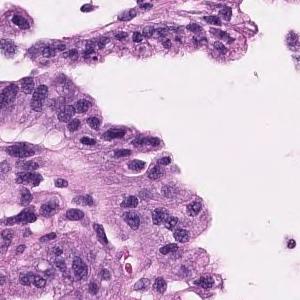
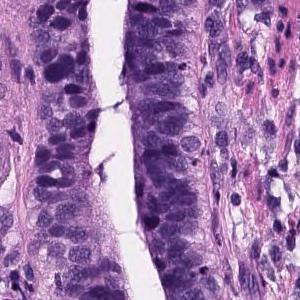
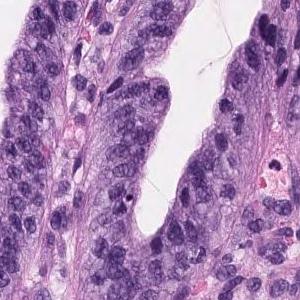
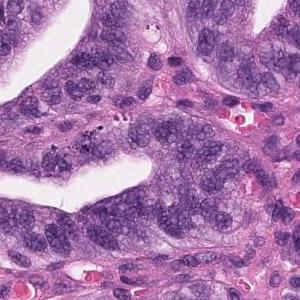
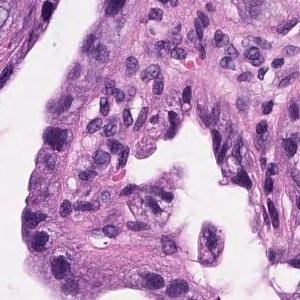
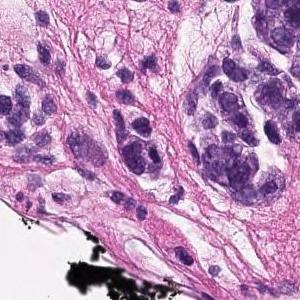
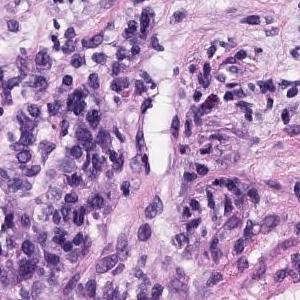
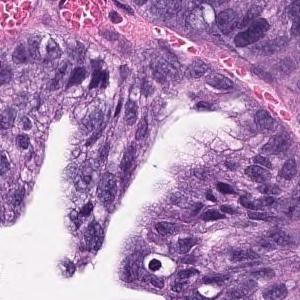
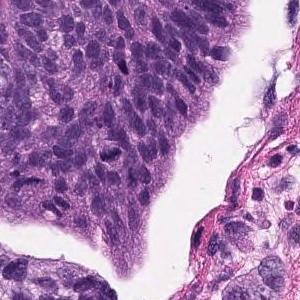
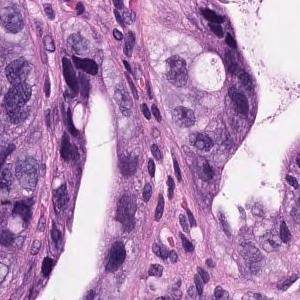
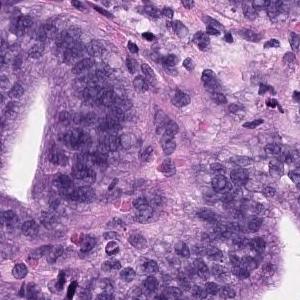
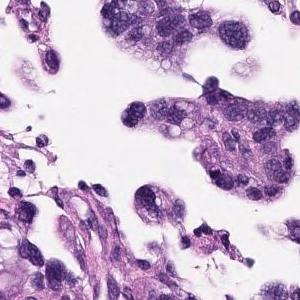
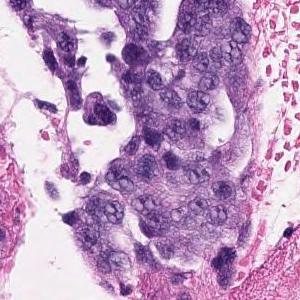
×20; hematoxylin and eosin stain; 13 image tiles from a single gastric biopsy slide; 300×300 px each.
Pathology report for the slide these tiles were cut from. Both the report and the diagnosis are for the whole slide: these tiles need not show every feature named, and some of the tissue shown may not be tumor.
Tumor cells are large, highly columnar, large club-shaped nuclei, and are associated with chromatin aggregation. Papillary adenocarcinoma.
